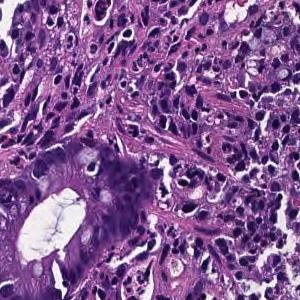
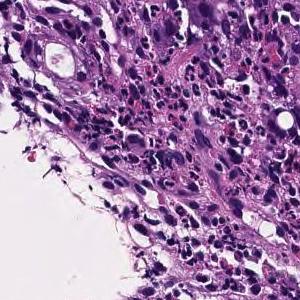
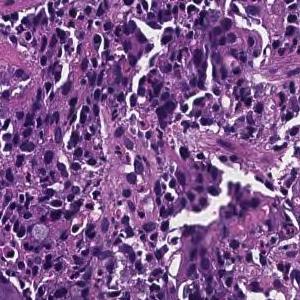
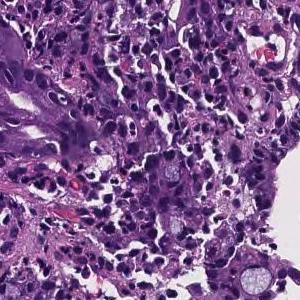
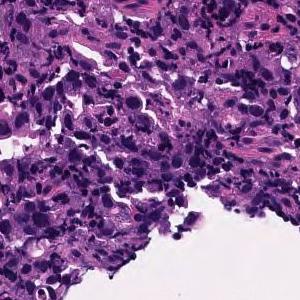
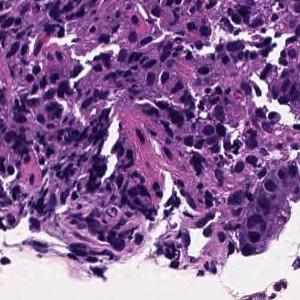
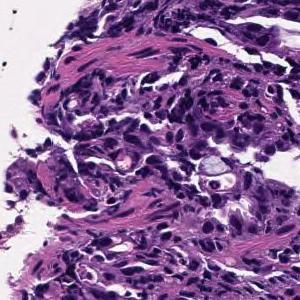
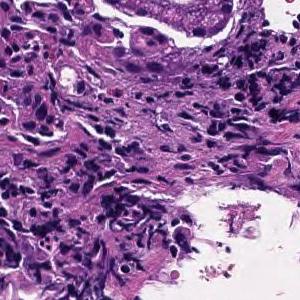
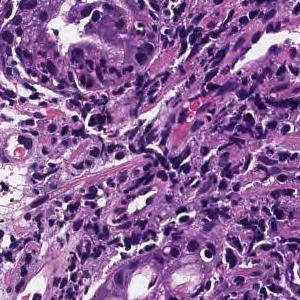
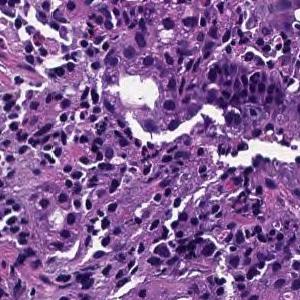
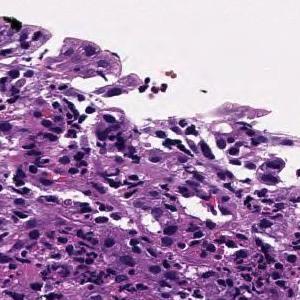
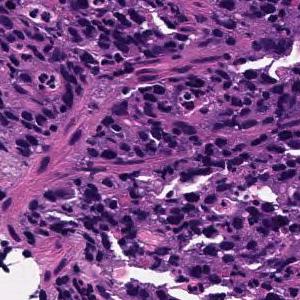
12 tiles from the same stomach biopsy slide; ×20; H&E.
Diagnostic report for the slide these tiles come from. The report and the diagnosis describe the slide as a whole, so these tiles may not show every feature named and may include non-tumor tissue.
Medium to small, irregular glandular ducts are formed in the superficial epithelium, and in some cases, the glandular ducts are fused to show solid alveolar lesions and infiltrating tumor tissue is observed. Moderately to poorly differentiated adenocarcinoma.
